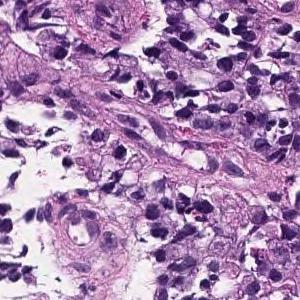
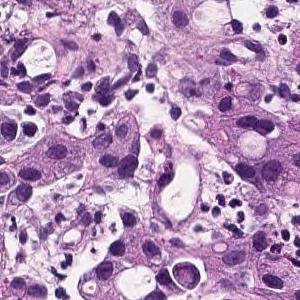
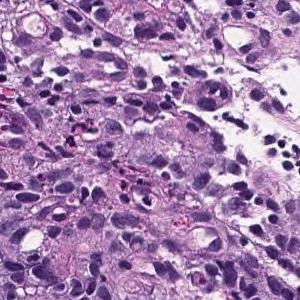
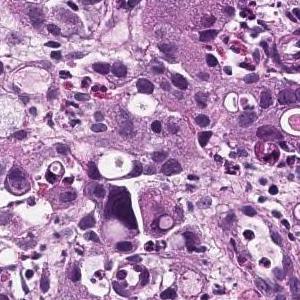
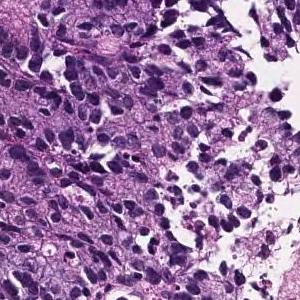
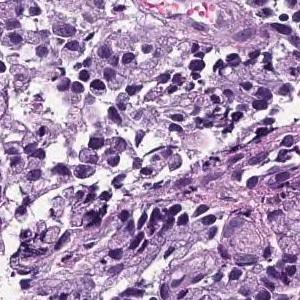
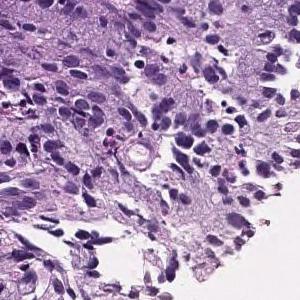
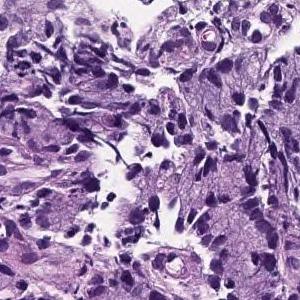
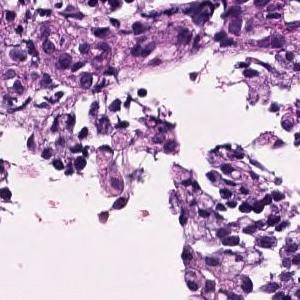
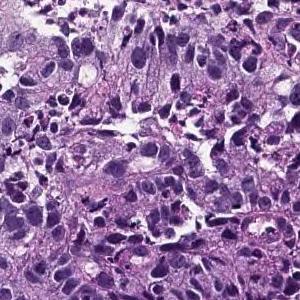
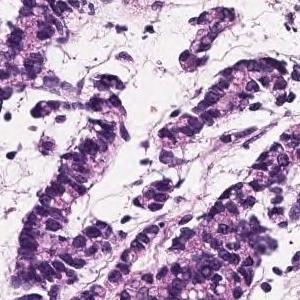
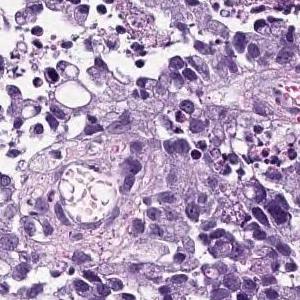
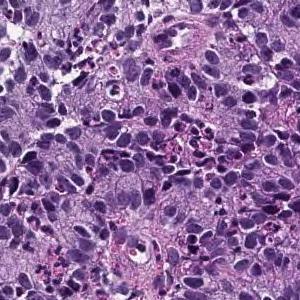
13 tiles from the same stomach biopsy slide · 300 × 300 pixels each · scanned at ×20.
Report on the slide these tiles come from. The report describes the whole slide, diagnosis included: not every finding it names need appear in these tiles, which may also show non-tumor tissue.
Tumor tissue infiltrated by irregular fusion of small cord-like structures is found in the superficial epithelium. Poorly differentiated adenocarcinoma, non-solid type
The term "non-solid type" comes from the Japanese Classification of Gastric Carcinoma.
